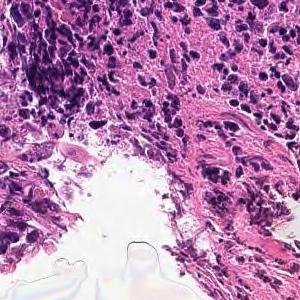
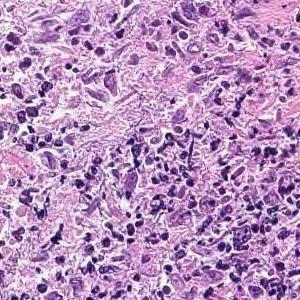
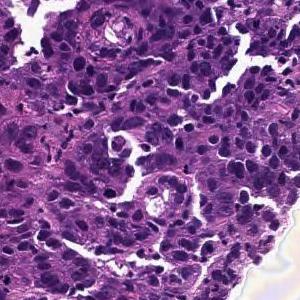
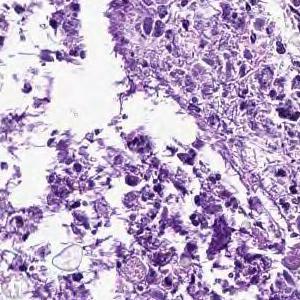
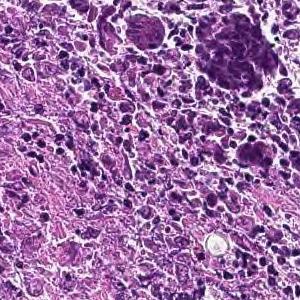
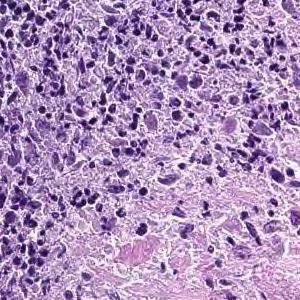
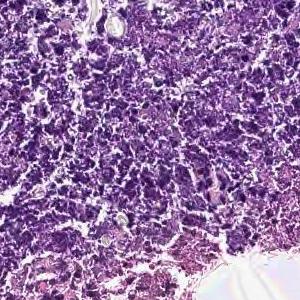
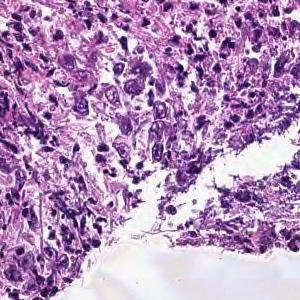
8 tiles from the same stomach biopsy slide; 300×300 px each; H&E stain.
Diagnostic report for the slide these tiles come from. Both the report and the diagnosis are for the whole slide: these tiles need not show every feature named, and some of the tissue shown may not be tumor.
Cancers with polygonal nuclei do not show glandular formation and are densely, in part, cord-like and proliferate. Poorly differentiated adenocarcinoma
Histologic type: Poorly differentiated adenocarcinoma, non-solid type.
The term "non-solid type" comes from the Japanese Classification of Gastric Carcinoma.
